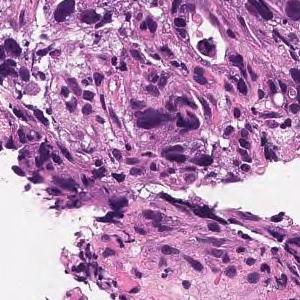
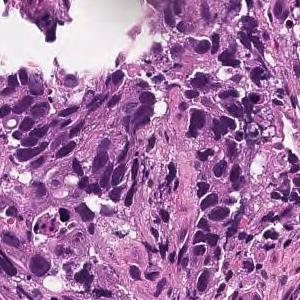
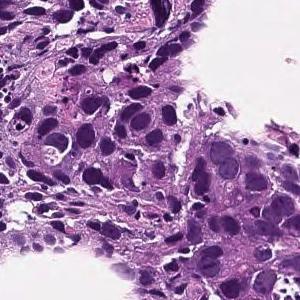
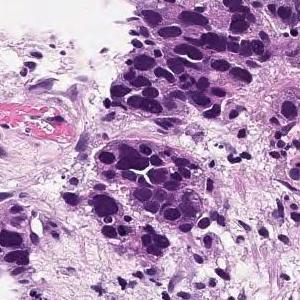
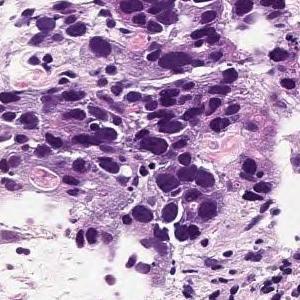
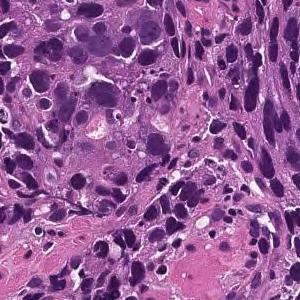
6 image tiles from a single gastric biopsy slide · 300×300 px each · ×20.
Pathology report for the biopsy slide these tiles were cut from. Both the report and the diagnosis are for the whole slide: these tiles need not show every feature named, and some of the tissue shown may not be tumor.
Tumor cells are medium-sized polygonal with no extracellular mucus production or duct formation. Poorly differentiated adenocarcinoma, solid-type
Subtype: Poorly differentiated adenocarcinoma, solid type (Japanese Classification of Gastric Carcinoma). The WHO 2019 equivalent is tubular adenocarcinoma, poorly differentiated.
